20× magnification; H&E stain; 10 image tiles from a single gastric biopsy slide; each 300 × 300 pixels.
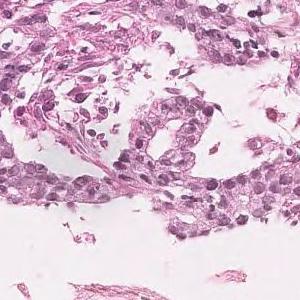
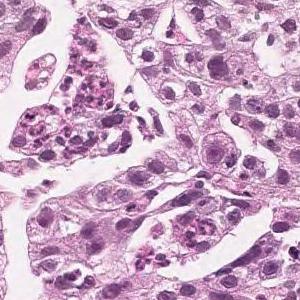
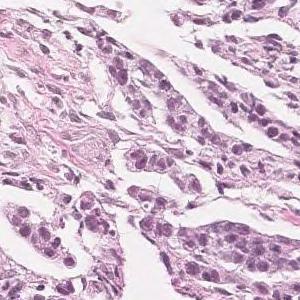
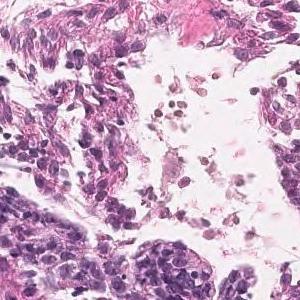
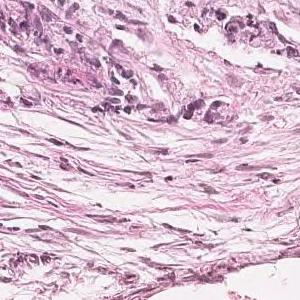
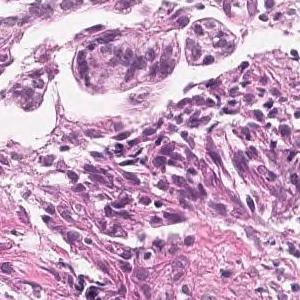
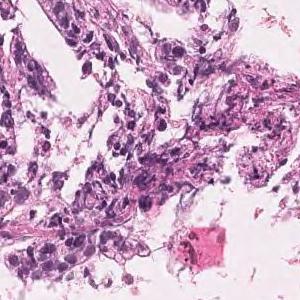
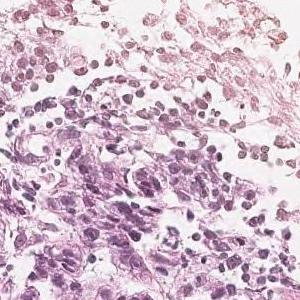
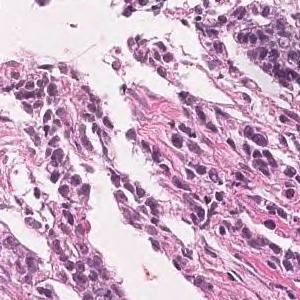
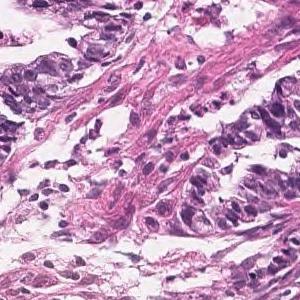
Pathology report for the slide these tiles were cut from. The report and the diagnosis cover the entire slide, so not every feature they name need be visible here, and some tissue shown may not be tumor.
Tumor tissue in which highly columnar atypical epithelial cells with nuclear enlargement and increased nuclear chromatin show papillary to papillary ductal structure and proliferate is observed. Papillary adenocarcinoma.
